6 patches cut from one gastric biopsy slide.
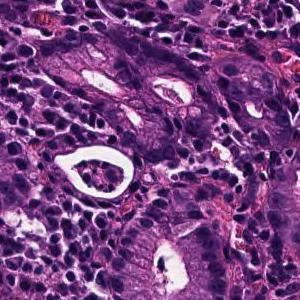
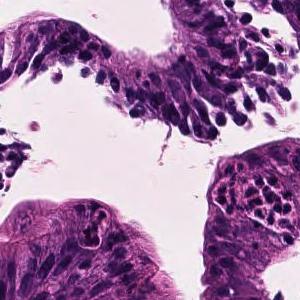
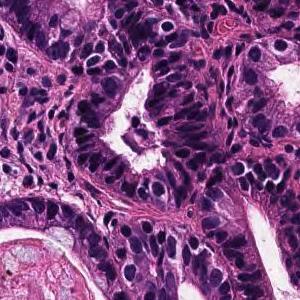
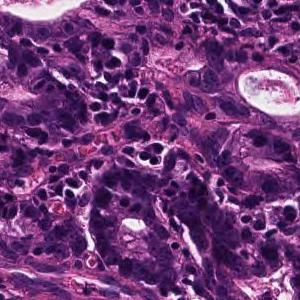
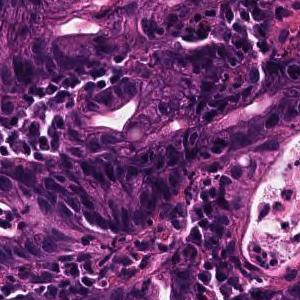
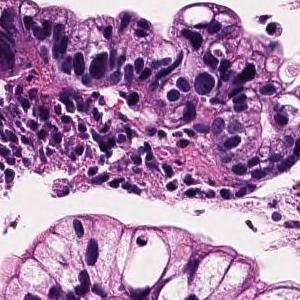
The pathologist's report on the biopsy slide these tiles were taken from. The report and the diagnosis cover the entire slide, so not every feature they name need be visible here, and some tissue shown may not be tumor.
Tumor cells are large, highly columnar, large club-shaped nuclei, and are associated with chromatin aggregation. Papillary adenocarcinoma.
